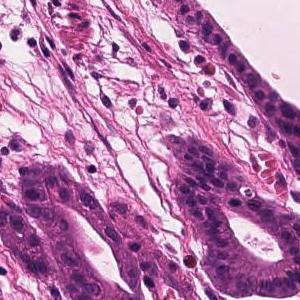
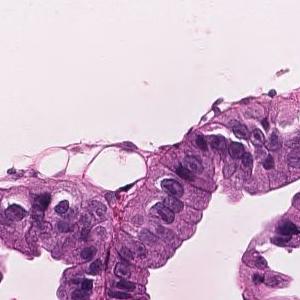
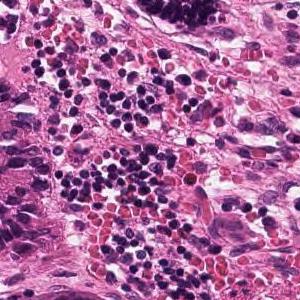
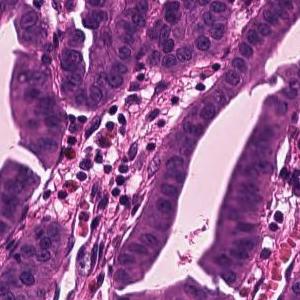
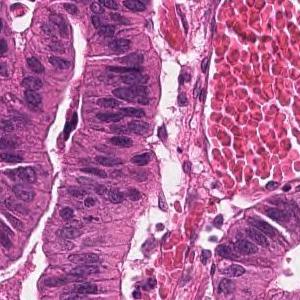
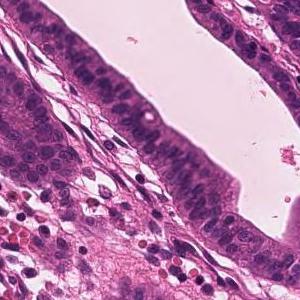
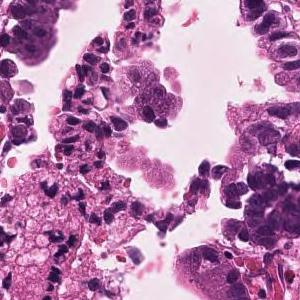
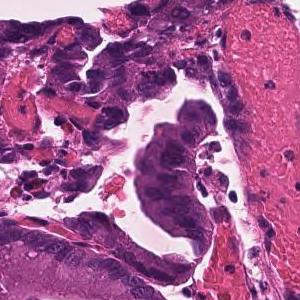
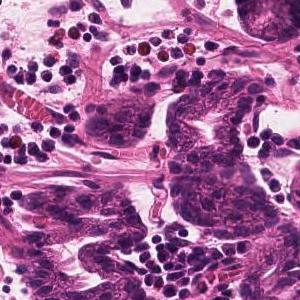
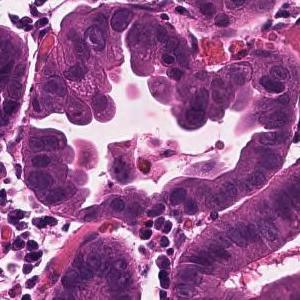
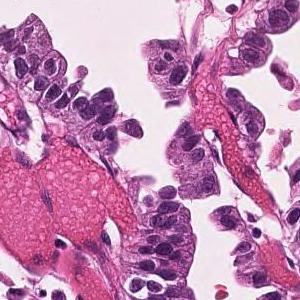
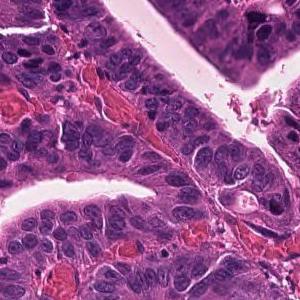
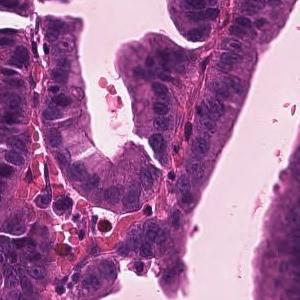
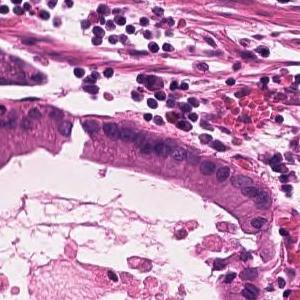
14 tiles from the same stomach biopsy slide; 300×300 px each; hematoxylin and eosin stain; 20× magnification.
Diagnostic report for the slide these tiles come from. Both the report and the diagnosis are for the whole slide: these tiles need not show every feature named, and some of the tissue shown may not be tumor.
Infiltrating tumor tissue with medium-sized, irregular ductal structure or large papillary appearance is observed. Well differentiated tubular adenocarcinoma
